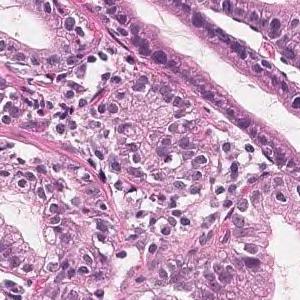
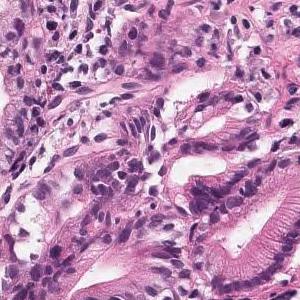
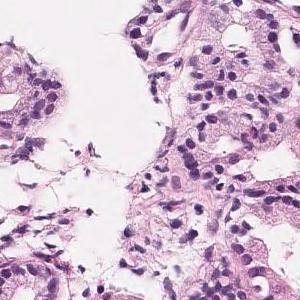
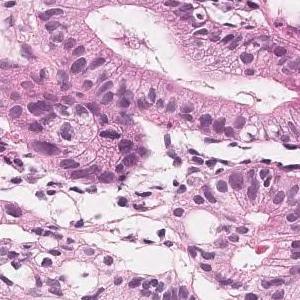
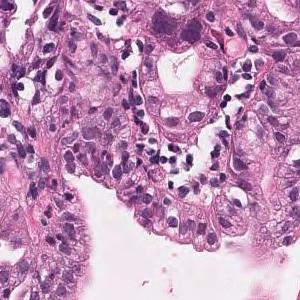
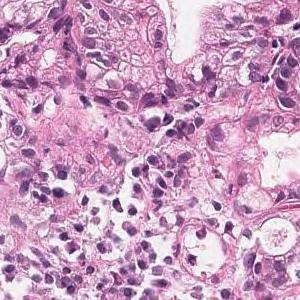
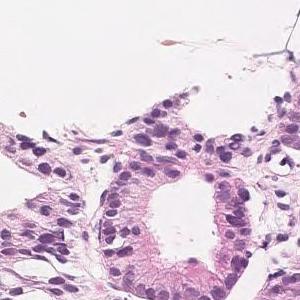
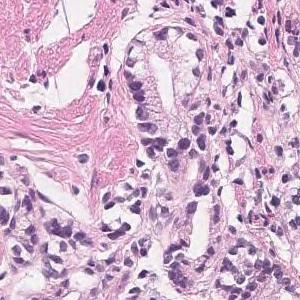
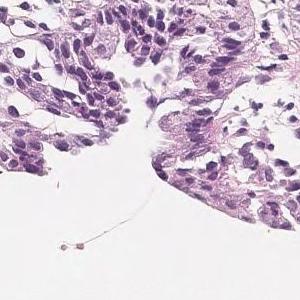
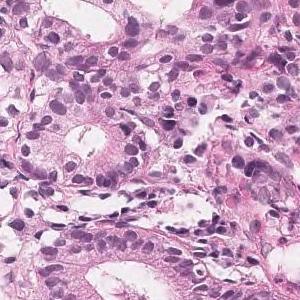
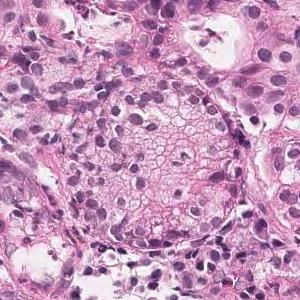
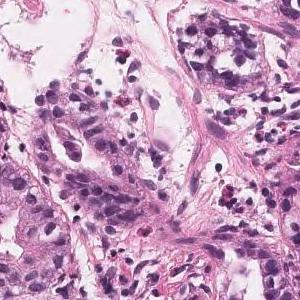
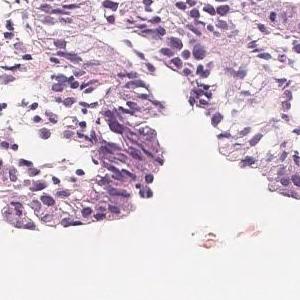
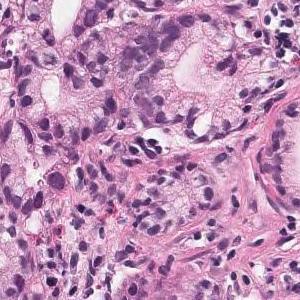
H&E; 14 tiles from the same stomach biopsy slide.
Pathology report for the biopsy slide these tiles were cut from. The report describes the whole slide, diagnosis included: not every finding it names need appear in these tiles, which may also show non-tumor tissue.
Proliferation of atypical glandular ducts that fuse and show a sieving structure is observed. moderately differentiated tubular adenocarcinoma
